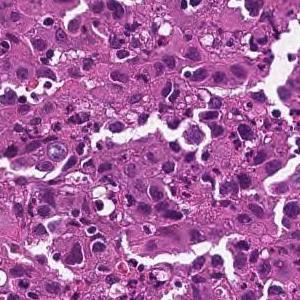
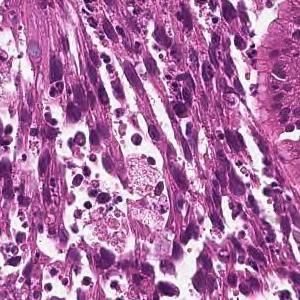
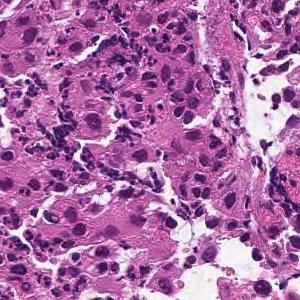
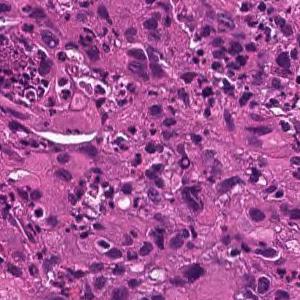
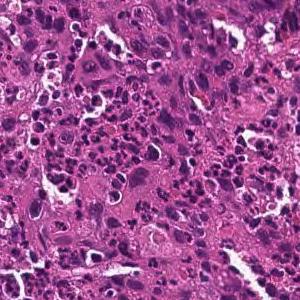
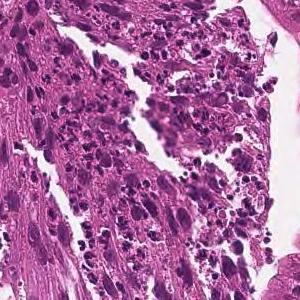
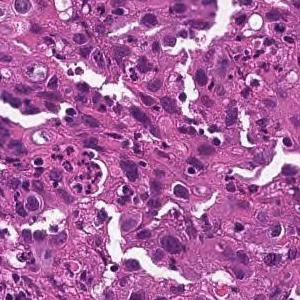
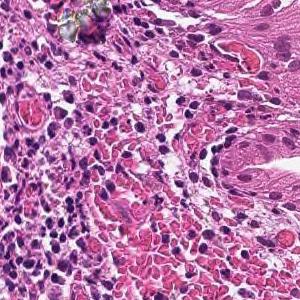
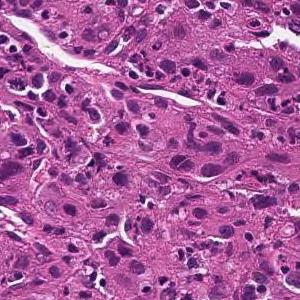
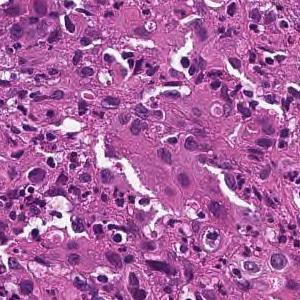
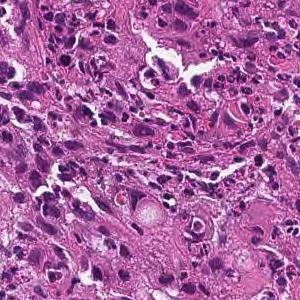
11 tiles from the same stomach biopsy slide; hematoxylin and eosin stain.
The pathologist's report on the biopsy slide these tiles were taken from. The report and the diagnosis cover the entire slide, so not every feature they name need be visible here, and some tissue shown may not be tumor.
The superficial epithelium shows a large sheet-like shape, and some tumor tissue infiltrates with small irregular ducts. Poorly differentiated adenocarcinoma, solid-type
Tumor subtype: poorly differentiated adenocarcinoma, solid type. This name comes from the Japanese Classification of Gastric Carcinoma; the WHO 2019 classification calls it tubular adenocarcinoma, poorly differentiated.
